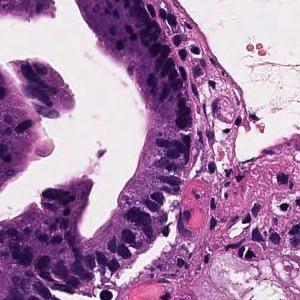
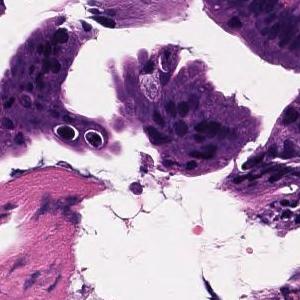
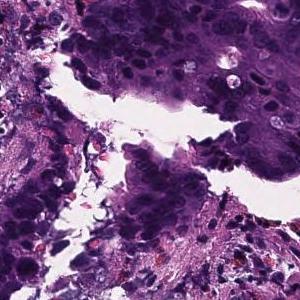
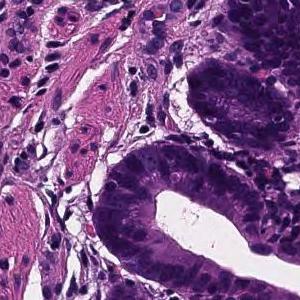
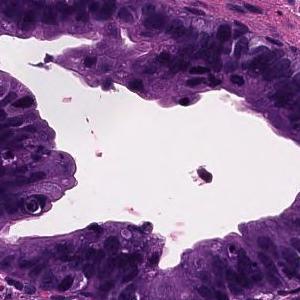
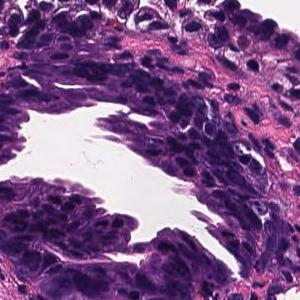
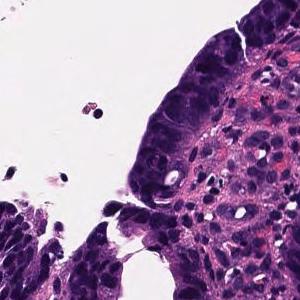
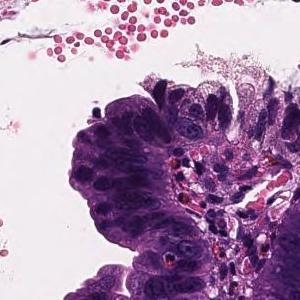
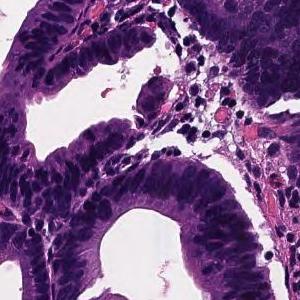
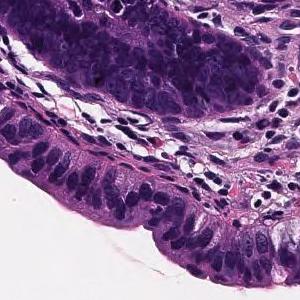
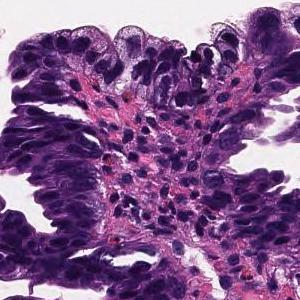
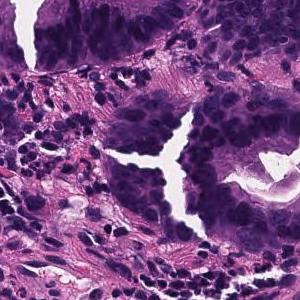
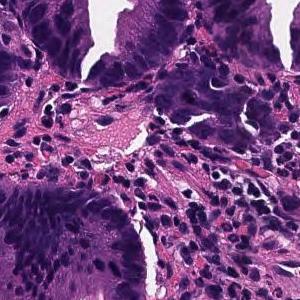
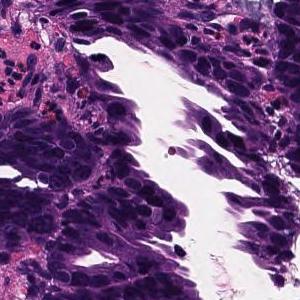
Hematoxylin and eosin stain; ×20; 14 tiles from the same stomach biopsy slide.
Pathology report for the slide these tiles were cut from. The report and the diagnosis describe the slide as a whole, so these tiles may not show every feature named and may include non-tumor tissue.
Tumor cells are large, highly columnar, large club-shaped nuclei, and are associated with chromatin aggregation. Papillary adenocarcinoma.
